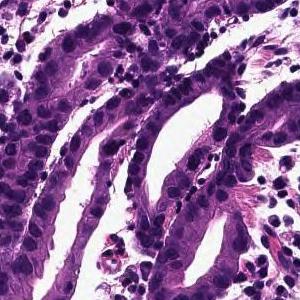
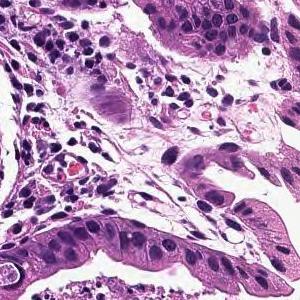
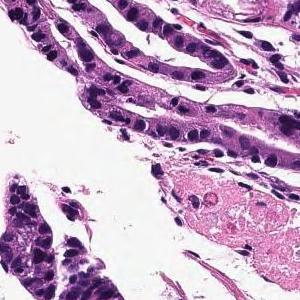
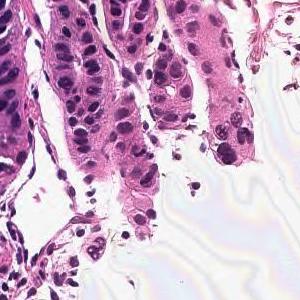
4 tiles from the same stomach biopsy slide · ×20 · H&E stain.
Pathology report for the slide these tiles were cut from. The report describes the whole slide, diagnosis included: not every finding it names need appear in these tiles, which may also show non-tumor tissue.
From the superficial epithelium to the muscularis mucosae, tumor tissue consisting of medium-sized and irregular glandular ducts infiltrating is observed. Well differentiated tubular adenocarcinoma
